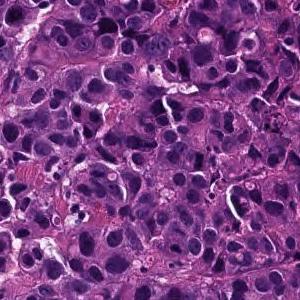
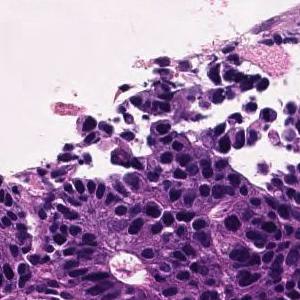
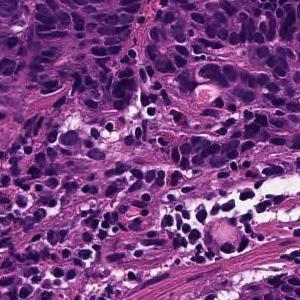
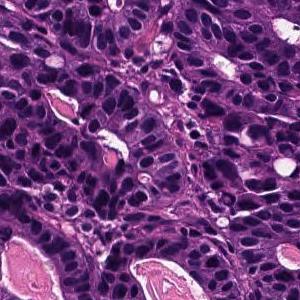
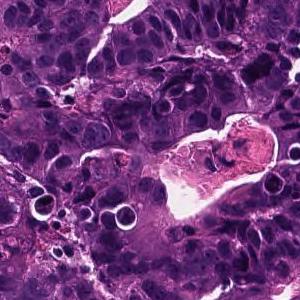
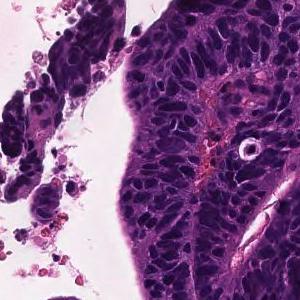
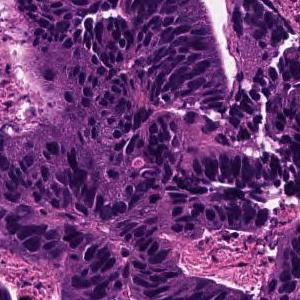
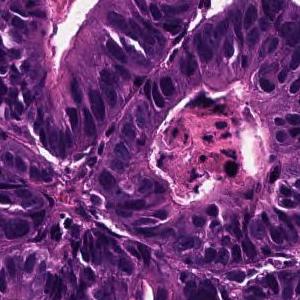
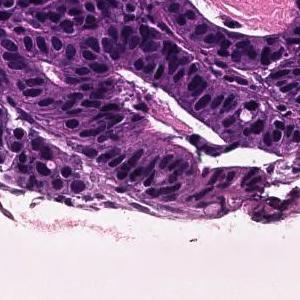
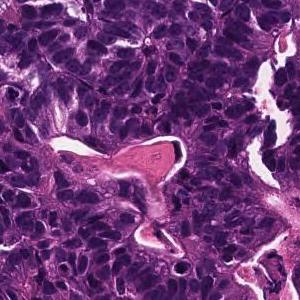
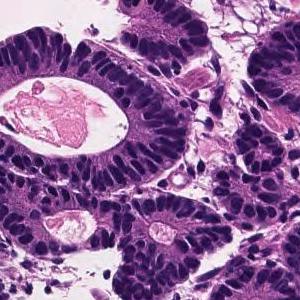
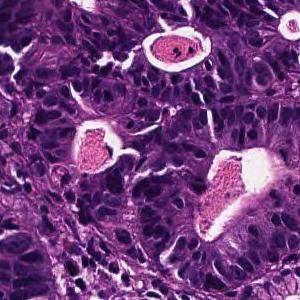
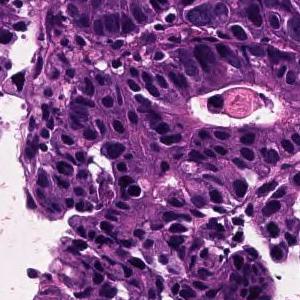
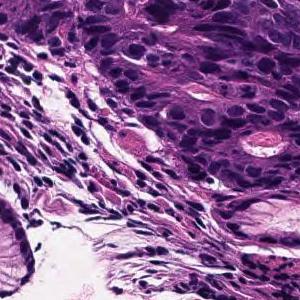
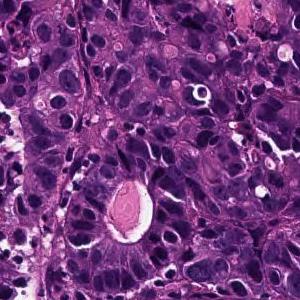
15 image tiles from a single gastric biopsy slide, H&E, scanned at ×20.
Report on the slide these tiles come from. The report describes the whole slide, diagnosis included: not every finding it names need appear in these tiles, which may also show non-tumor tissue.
In the superficial epithelium, tumor tissue that invades by forming medium-sized to small, irregular ducts is observed. moderately differentiated tubular adenocarcinoma.
